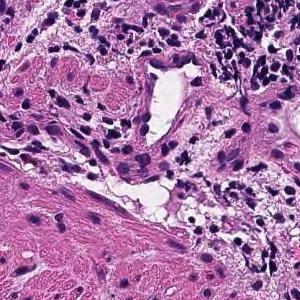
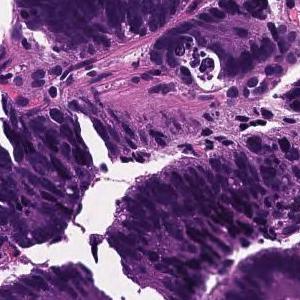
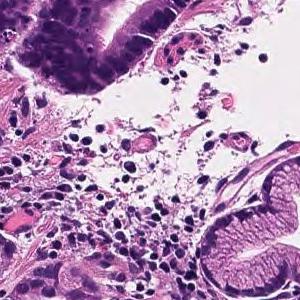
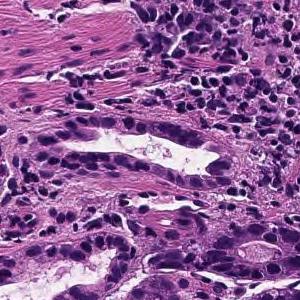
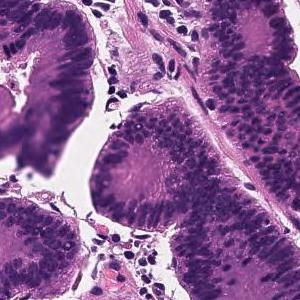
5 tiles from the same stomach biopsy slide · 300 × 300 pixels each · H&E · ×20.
Diagnostic report for the slide these tiles come from. The findings and the diagnosis refer to the entire slide; these tiles show only part of it, possibly with non-tumor tissue, and may not show every feature named.
Tumor tissue consisting of large papillary structures is found in the superficial epithelium. Papillary adenocarcinoma.
